H&E · ×20 · 12 tiles from the same stomach biopsy slide · each 300 × 300 pixels.
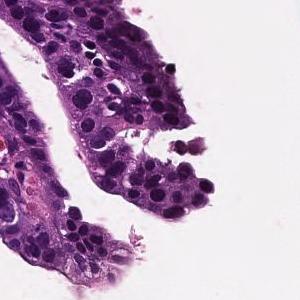
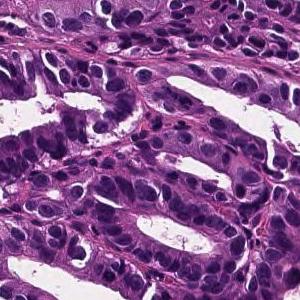
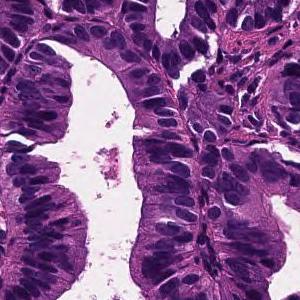
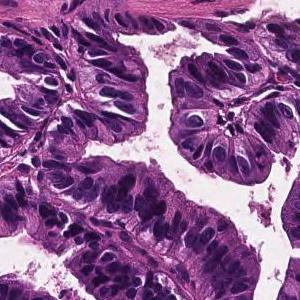
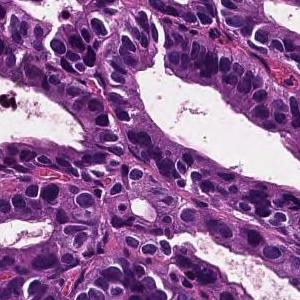
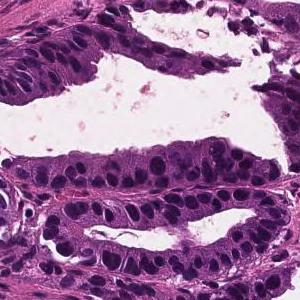
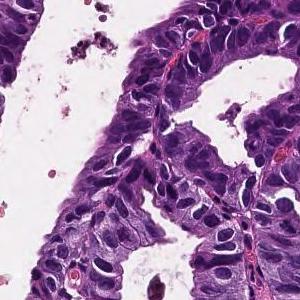
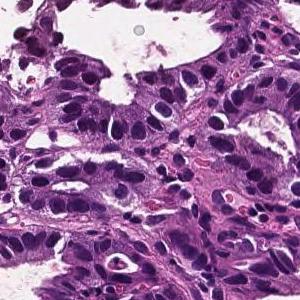
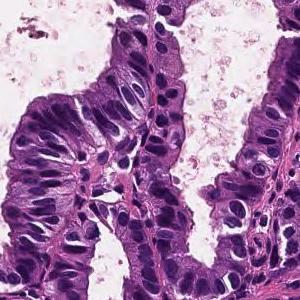
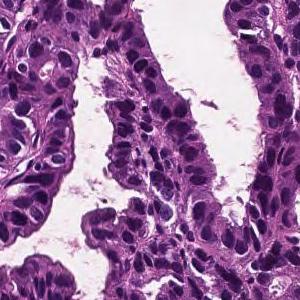
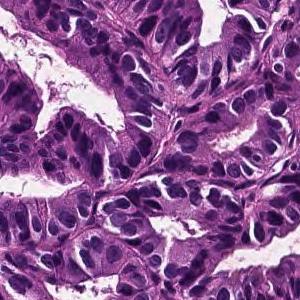
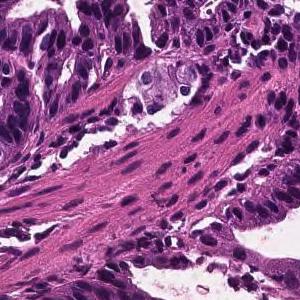
Pathology report for the slide these tiles were cut from. What the report and the diagnosis say applies to the whole slide; these tiles may miss some of the features named and may include tissue that is not tumor.
From the superficial epithelium to the muscularis mucosae, tumor tissue consisting of medium-sized and irregular glandular ducts infiltrating is observed. Well differentiated tubular adenocarcinoma
